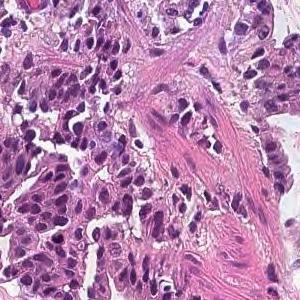
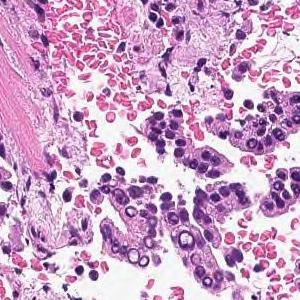
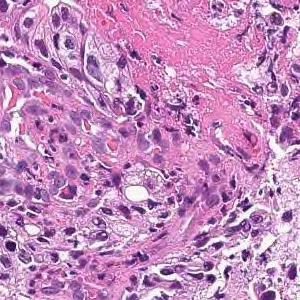
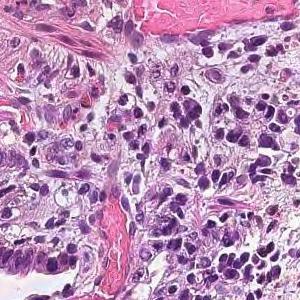
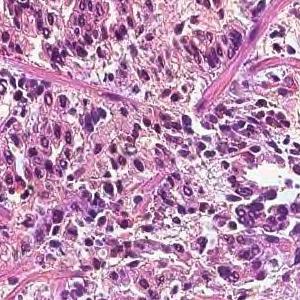
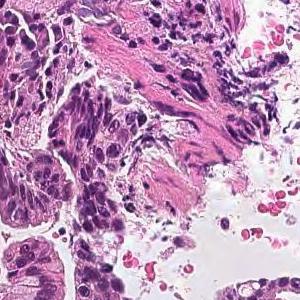
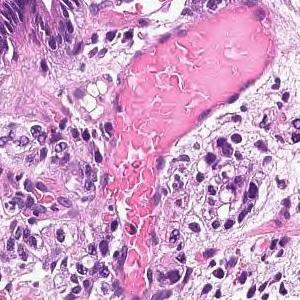
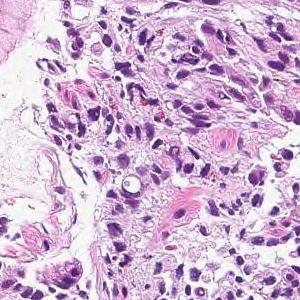
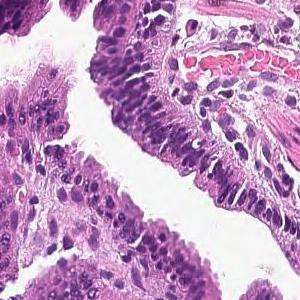
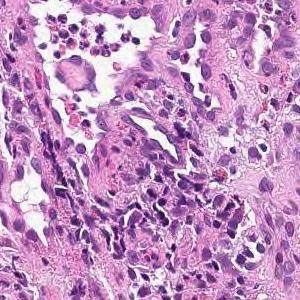
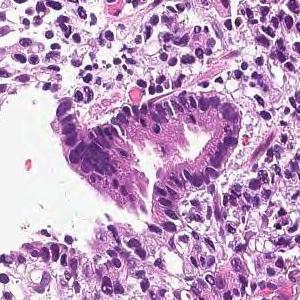
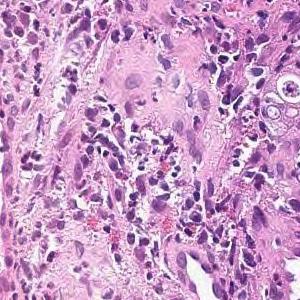
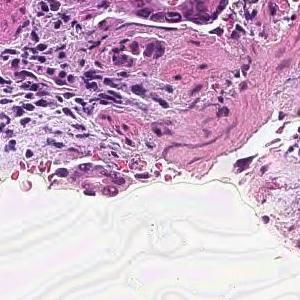
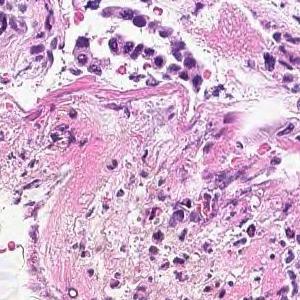
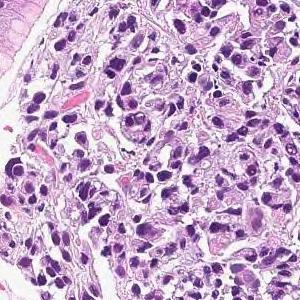
15 tiles from the same stomach biopsy slide · 300×300 px each.
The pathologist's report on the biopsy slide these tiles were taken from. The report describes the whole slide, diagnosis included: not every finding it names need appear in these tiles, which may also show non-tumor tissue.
Tumor tissue consisting of medium-sized, cord-like or irregular glandular infiltration is observed in the superficial epithelium. Poorly differentiated adenocarcinoma, non-solid type or moderately differentiated tubular adenocarcinoma
Tumor subtype: moderately to poorly differentiated adenocarcinoma.
The term "non-solid type" comes from the Japanese Classification of Gastric Carcinoma.
